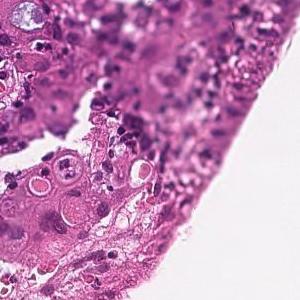
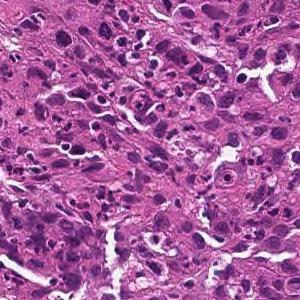
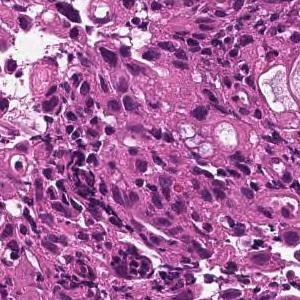
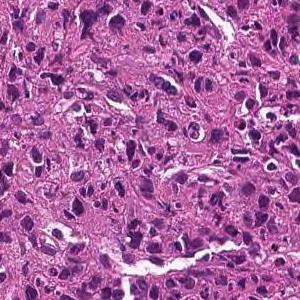
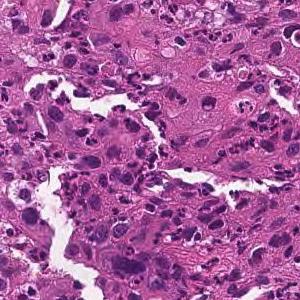
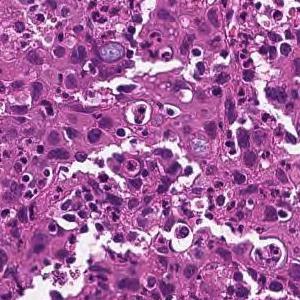
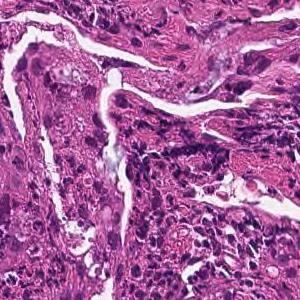
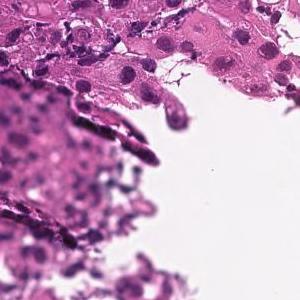
8 patches cut from one gastric biopsy slide · ×20.
Diagnostic report for the slide these tiles come from. The report and the diagnosis describe the slide as a whole, so these tiles may not show every feature named and may include non-tumor tissue.
The superficial epithelium shows a large sheet-like shape, and some tumor tissue infiltrates with small irregular ducts. Poorly differentiated adenocarcinoma, solid-type
Classified as poorly differentiated adenocarcinoma, solid type. This name comes from the Japanese Classification of Gastric Carcinoma; the WHO 2019 classification calls it tubular adenocarcinoma, poorly differentiated.
